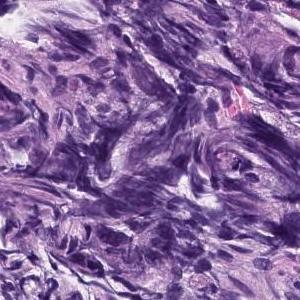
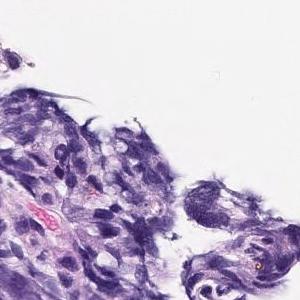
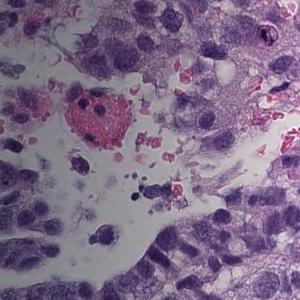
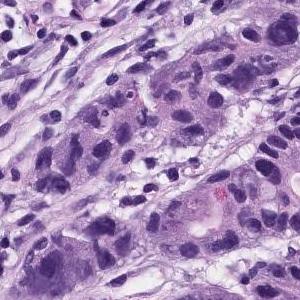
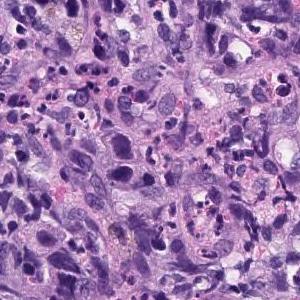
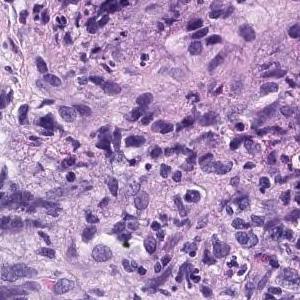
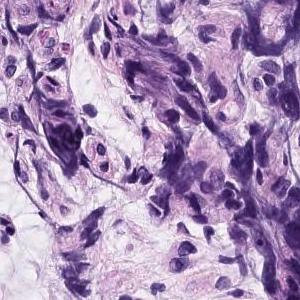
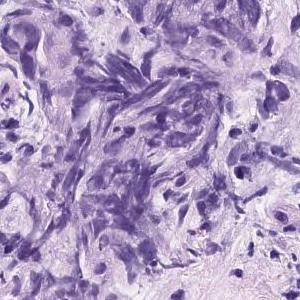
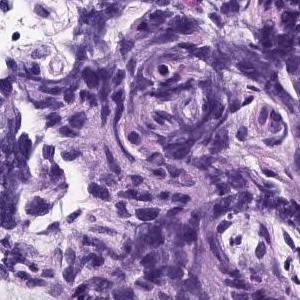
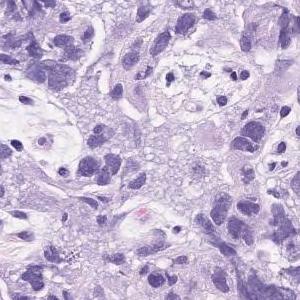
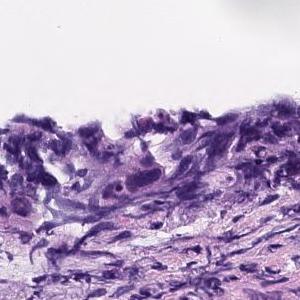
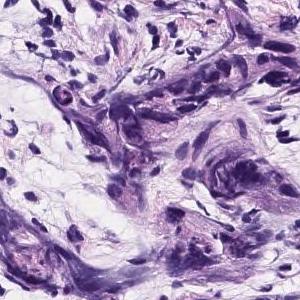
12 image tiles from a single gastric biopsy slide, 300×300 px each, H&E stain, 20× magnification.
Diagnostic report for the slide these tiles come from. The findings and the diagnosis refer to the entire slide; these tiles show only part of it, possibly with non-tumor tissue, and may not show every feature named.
Atypical epithelial cells with an increased N/C ratio proliferate and consist of a part that shows the formation of gland ducts and a part that shows solid growth. Poorly differentiated adenocarcinoma, solid-type
Subtype: Poorly differentiated adenocarcinoma, solid type (Japanese Classification of Gastric Carcinoma). The WHO 2019 equivalent is tubular adenocarcinoma, poorly differentiated.
